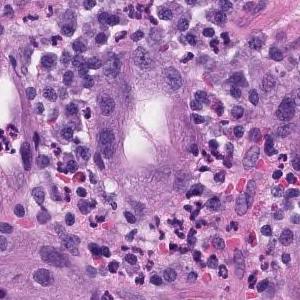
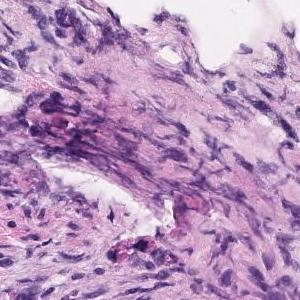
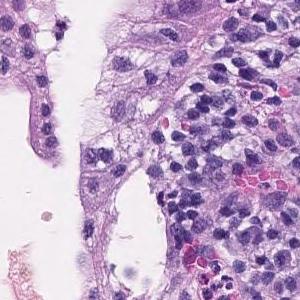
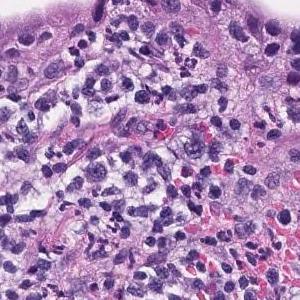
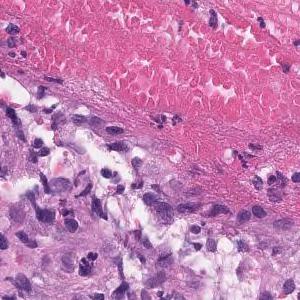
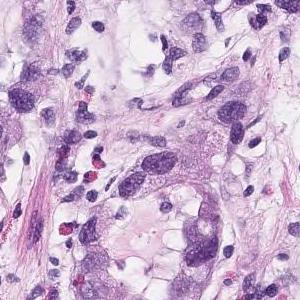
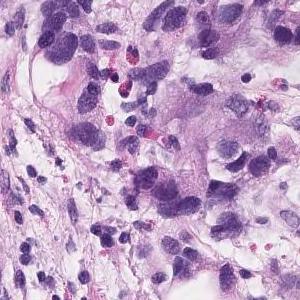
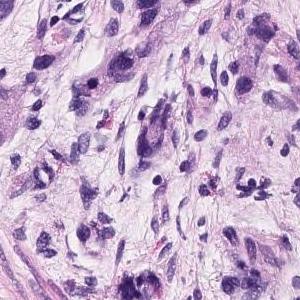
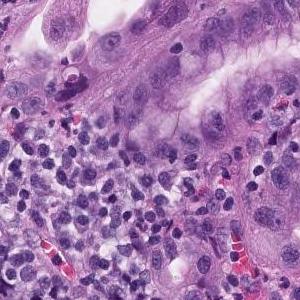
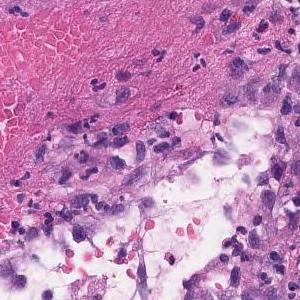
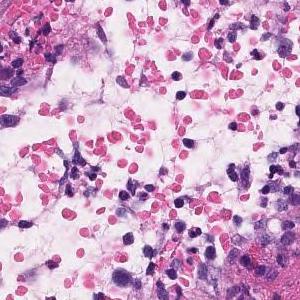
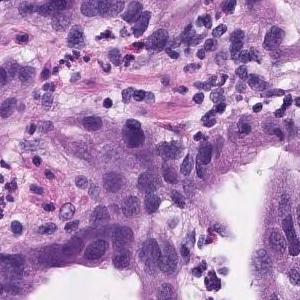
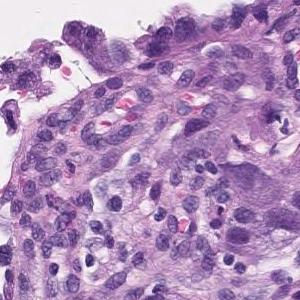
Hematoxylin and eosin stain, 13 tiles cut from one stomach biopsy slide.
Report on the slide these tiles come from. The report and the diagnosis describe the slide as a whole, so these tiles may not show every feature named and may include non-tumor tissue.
Group 5, Adenocarcinoma. Moderately to poorly differentiated adenocarcinoma
